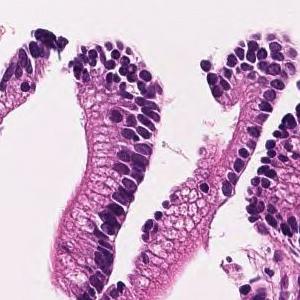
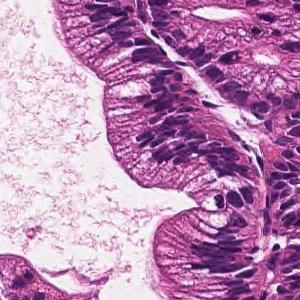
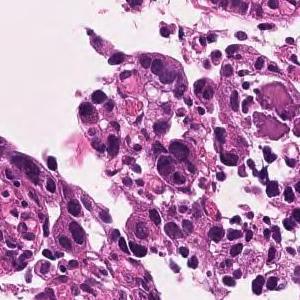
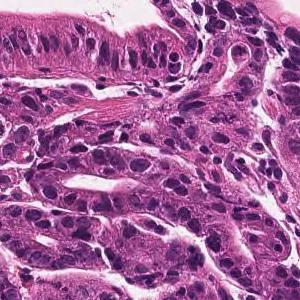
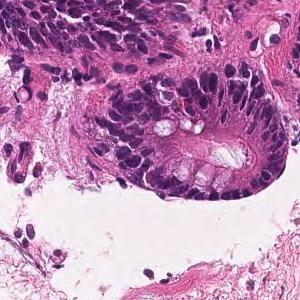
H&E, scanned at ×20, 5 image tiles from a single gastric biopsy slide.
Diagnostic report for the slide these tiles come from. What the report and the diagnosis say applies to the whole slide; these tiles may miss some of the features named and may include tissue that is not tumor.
In the superficial epithelium, tumor tissue that invades by forming medium-sized to small, irregular ducts is observed. moderately differentiated tubular adenocarcinoma.
